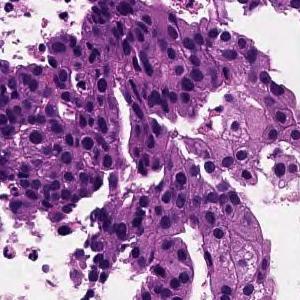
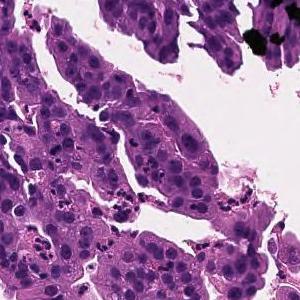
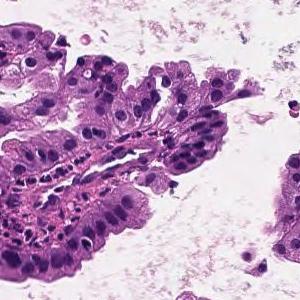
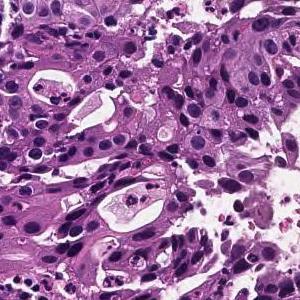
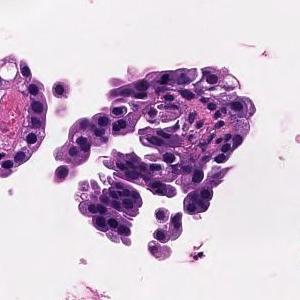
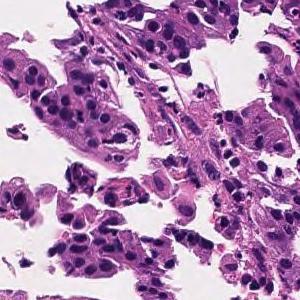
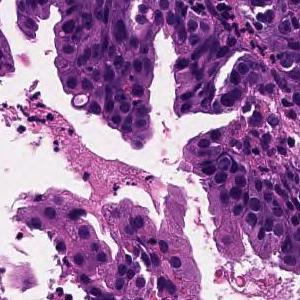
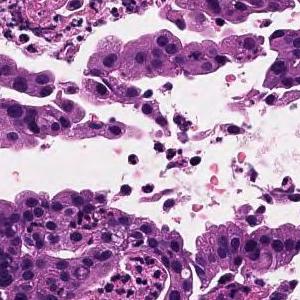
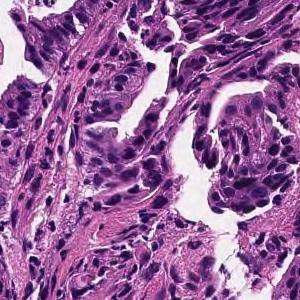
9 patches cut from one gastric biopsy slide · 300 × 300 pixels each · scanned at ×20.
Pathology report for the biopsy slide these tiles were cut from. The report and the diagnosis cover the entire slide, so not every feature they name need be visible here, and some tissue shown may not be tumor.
On the superficial epithelium, tumor tissue consisting of large, irregular glandular ducts partially fused and infiltrated is observed. Well to moderately differentiated tubular adenocarcinoma (well differentiated tubular adenocarcinoma, moderately differentiated tubular adenocarcinoma)
Tumor subtype: well to moderately differentiated tubular adenocarcinoma.
